H&E stain; ×20; 14 tiles from the same stomach biopsy slide; 300×300 px each.
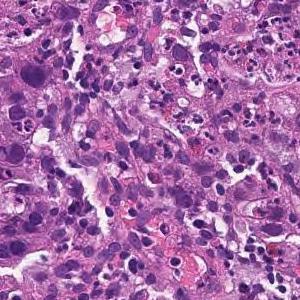
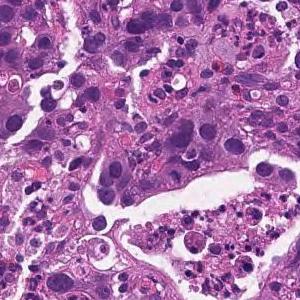
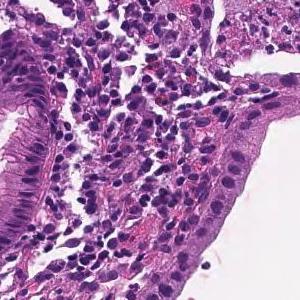
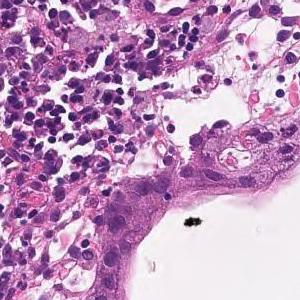
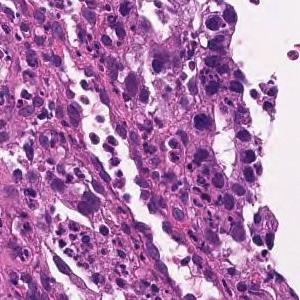
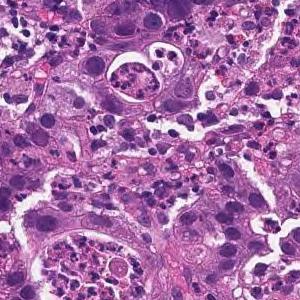
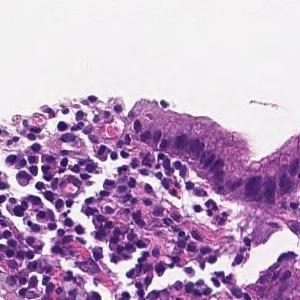
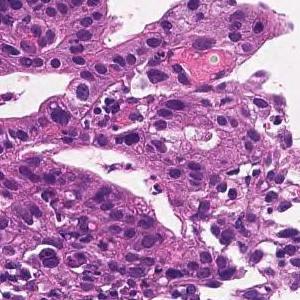
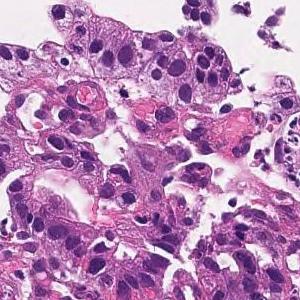
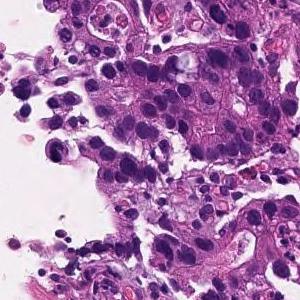
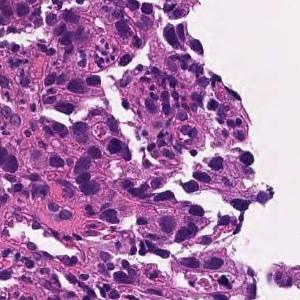
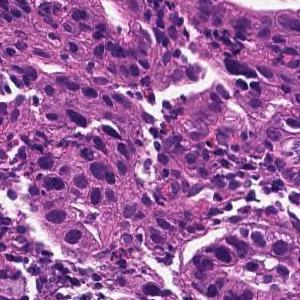
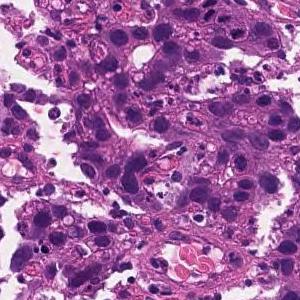
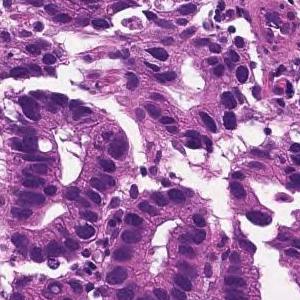
Pathology report for the biopsy slide these tiles were cut from. What the report and the diagnosis say applies to the whole slide; these tiles may miss some of the features named and may include tissue that is not tumor.
Medium to small, irregular glandular ducts are formed in the superficial epithelium, and in some cases, the glandular ducts are fused to show solid alveolar lesions and infiltrating tumor tissue is observed. Moderately to poorly differentiated adenocarcinoma.
